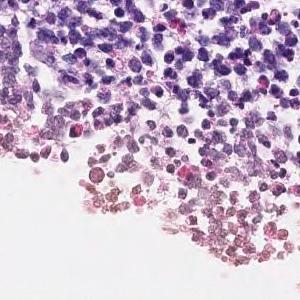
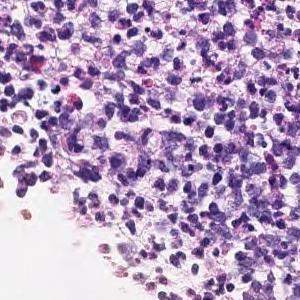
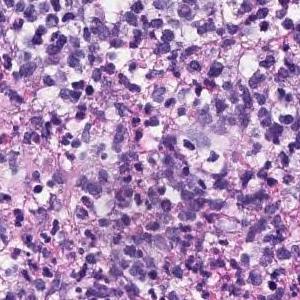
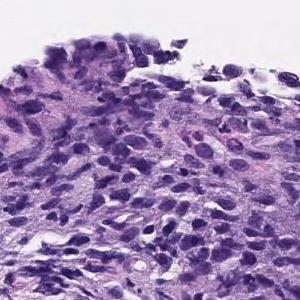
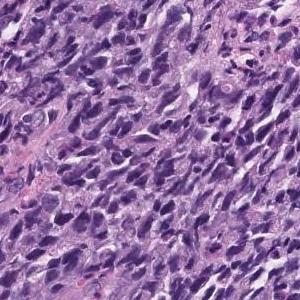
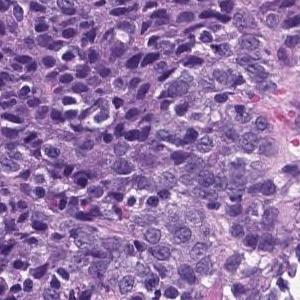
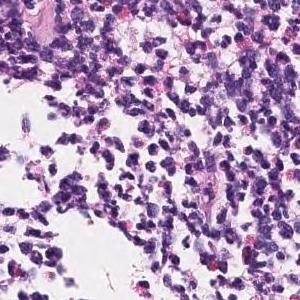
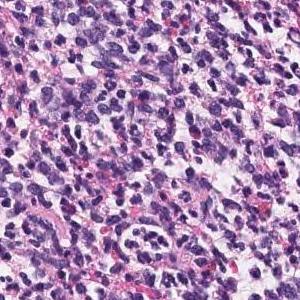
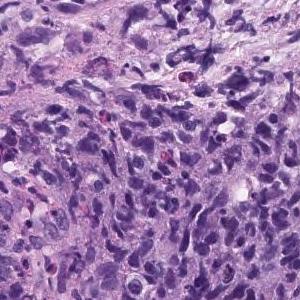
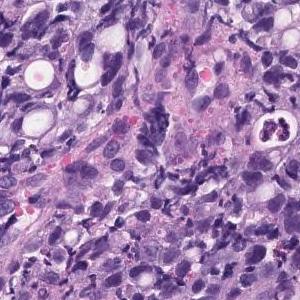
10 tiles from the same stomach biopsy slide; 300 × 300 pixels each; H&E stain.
Pathology report for the biopsy slide these tiles were cut from. The report and the diagnosis cover the entire slide, so not every feature they name need be visible here, and some tissue shown may not be tumor.
The superficial epithelium shows a large sheet-like shape, and some tumor tissue infiltrates with small irregular ducts. Poorly differentiated adenocarcinoma, solid-type
Tumor subtype: poorly differentiated adenocarcinoma, solid type (Japanese Classification of Gastric Carcinoma). The WHO 2019 equivalent is tubular adenocarcinoma, poorly differentiated.
